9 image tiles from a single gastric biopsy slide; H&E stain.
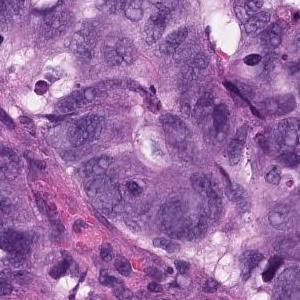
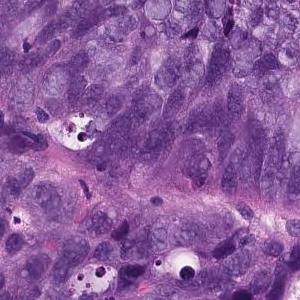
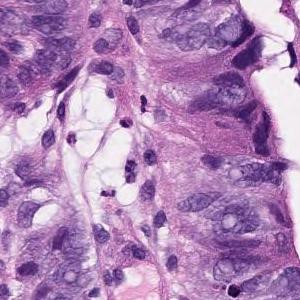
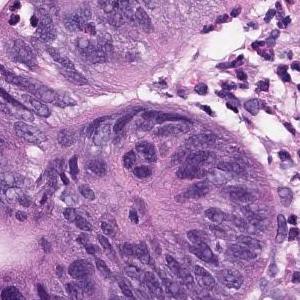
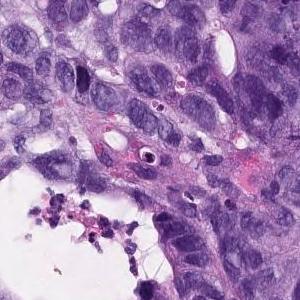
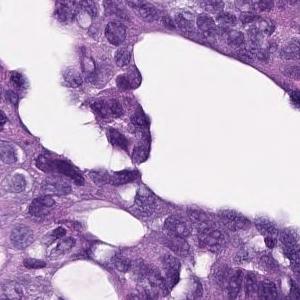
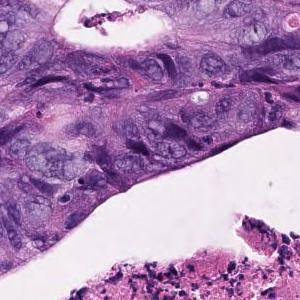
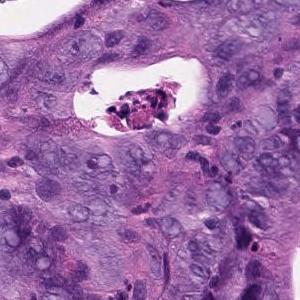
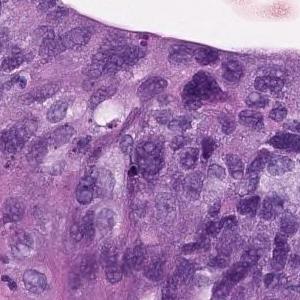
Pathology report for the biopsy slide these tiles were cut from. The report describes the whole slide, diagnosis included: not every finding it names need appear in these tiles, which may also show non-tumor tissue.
In the superficial epithelium, tumor tissue that invades by forming medium-sized to small, irregular ducts is observed. Moderately differentiated adenocarcinoma.
Histological subtype: Moderately differentiated tubular adenocarcinoma.
